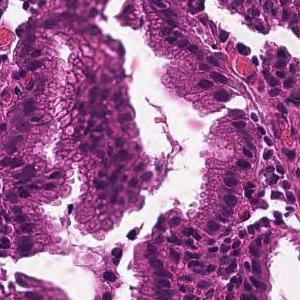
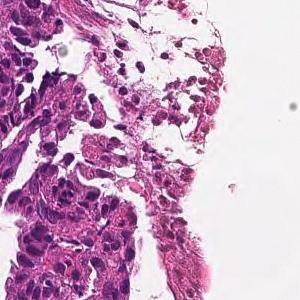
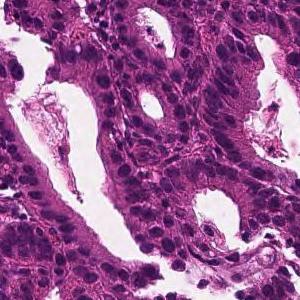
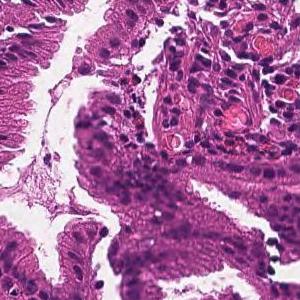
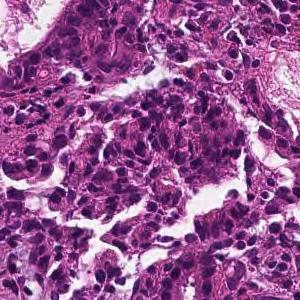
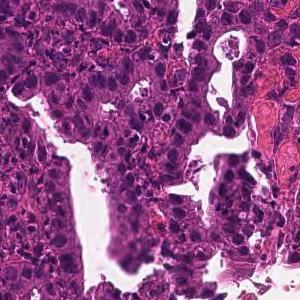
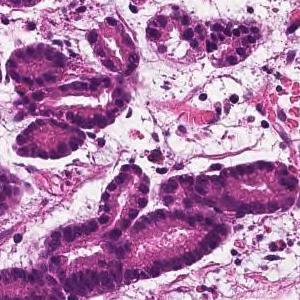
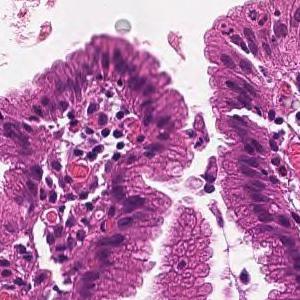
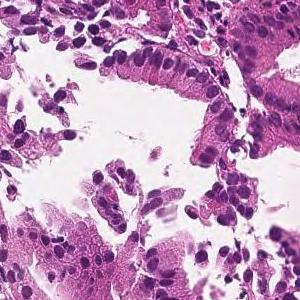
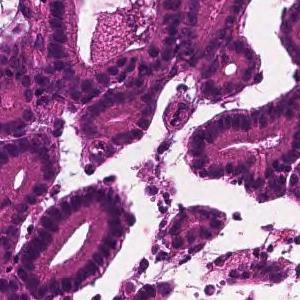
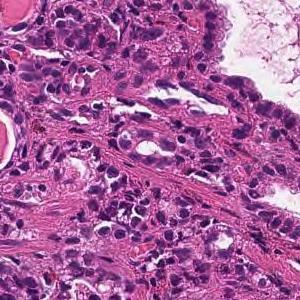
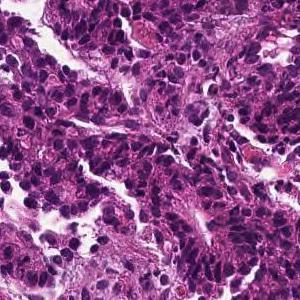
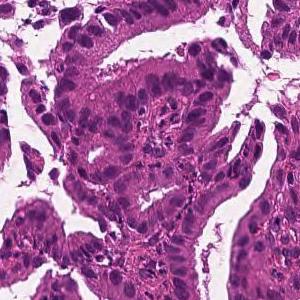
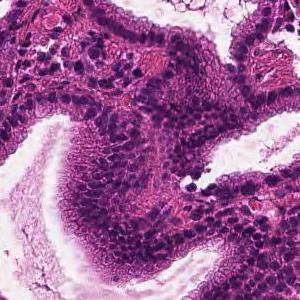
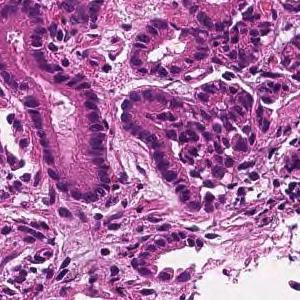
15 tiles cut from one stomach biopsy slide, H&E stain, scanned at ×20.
Pathology report for the slide these tiles were cut from. The findings and the diagnosis refer to the entire slide; these tiles show only part of it, possibly with non-tumor tissue, and may not show every feature named.
From the superficial epithelium to the muscularis mucosae, tumor tissue consisting of medium-sized and irregular glandular ducts infiltrating is observed. Well differentiated tubular adenocarcinoma
